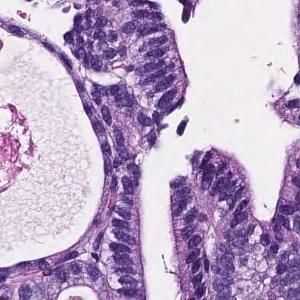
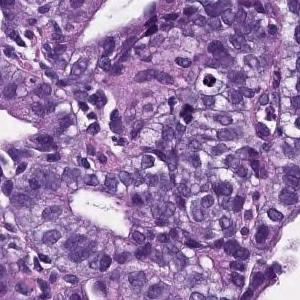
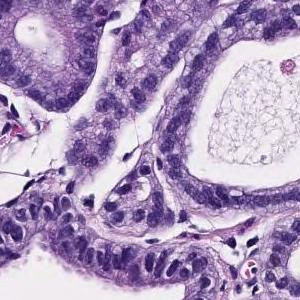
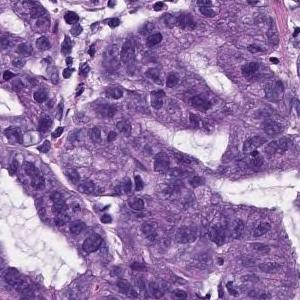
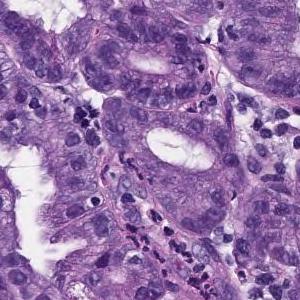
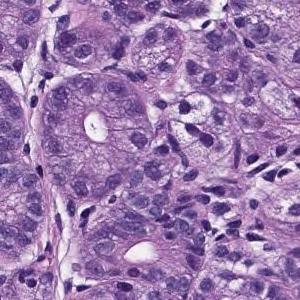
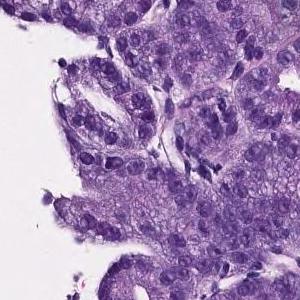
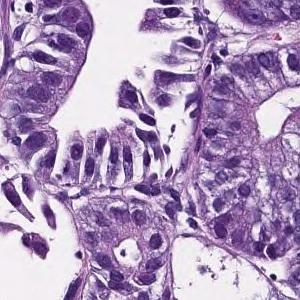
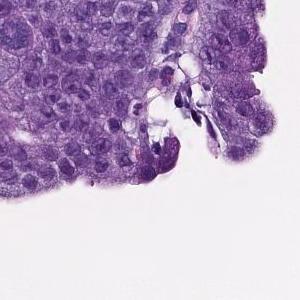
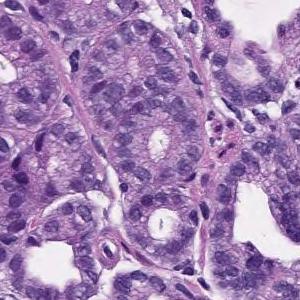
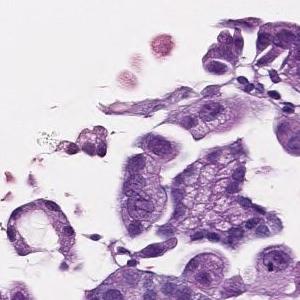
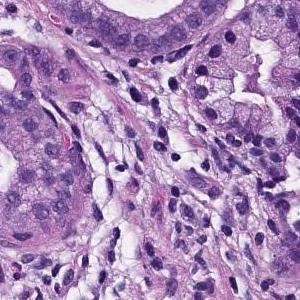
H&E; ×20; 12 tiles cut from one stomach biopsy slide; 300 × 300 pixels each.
The pathologist's report on the biopsy slide these tiles were taken from. Both the report and the diagnosis are for the whole slide: these tiles need not show every feature named, and some of the tissue shown may not be tumor.
On the superficial epithelium, tumor tissue that infiltrates by forming medium-sized papillary or small irregular ducts is observed. Papillary adenocarcinoma
